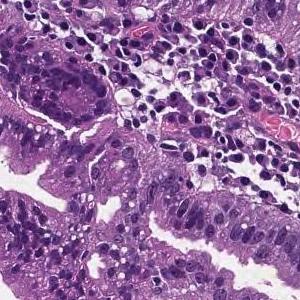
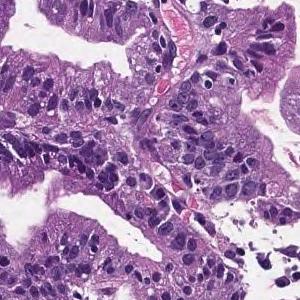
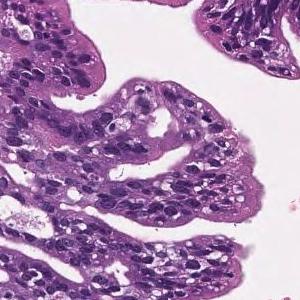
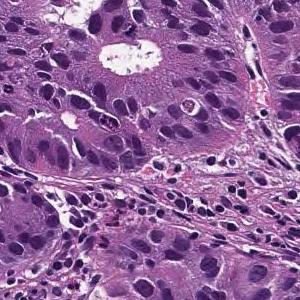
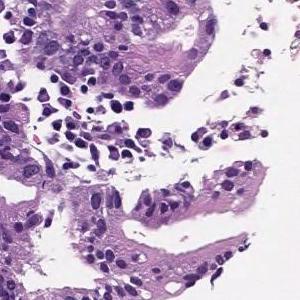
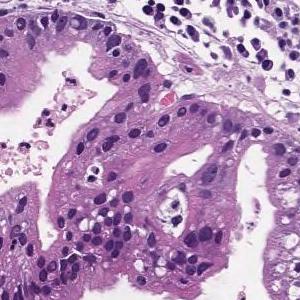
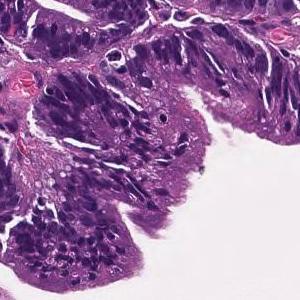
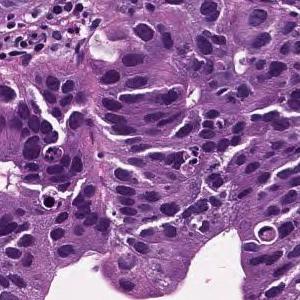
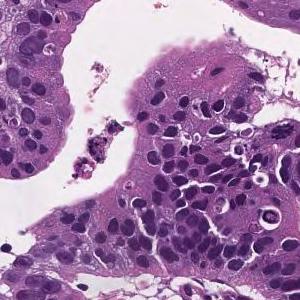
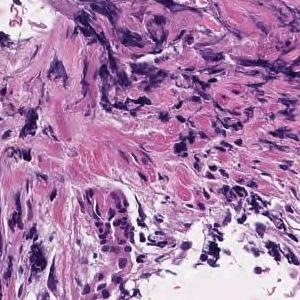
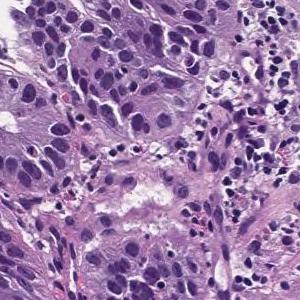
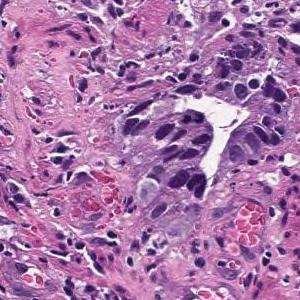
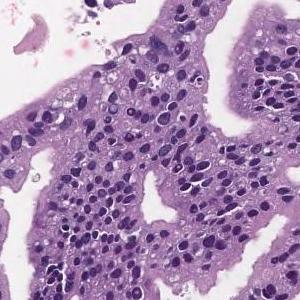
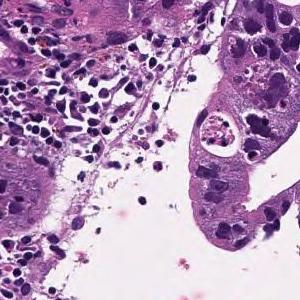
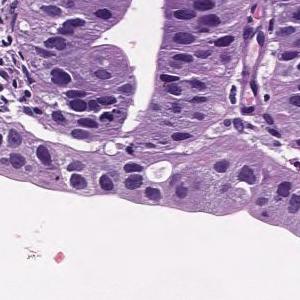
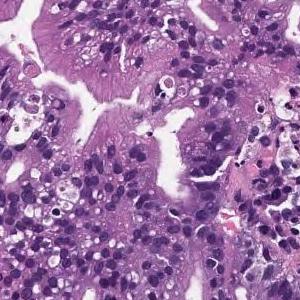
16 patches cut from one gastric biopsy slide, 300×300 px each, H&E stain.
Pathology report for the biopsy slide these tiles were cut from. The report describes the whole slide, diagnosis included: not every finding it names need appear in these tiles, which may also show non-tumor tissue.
Tumor cells are large, highly columnar, large club-shaped nuclei, and are associated with chromatin aggregation. Papillary adenocarcinoma.
